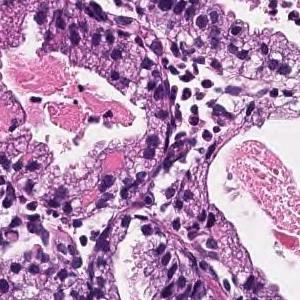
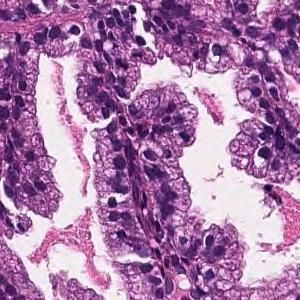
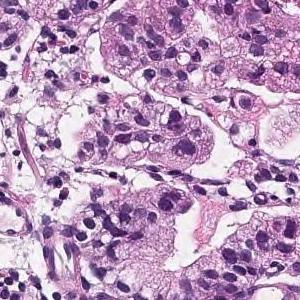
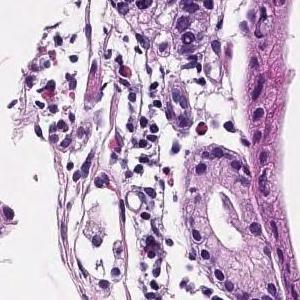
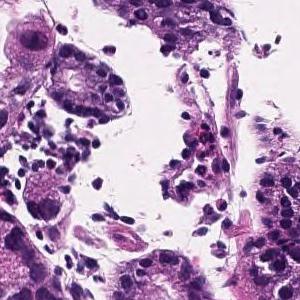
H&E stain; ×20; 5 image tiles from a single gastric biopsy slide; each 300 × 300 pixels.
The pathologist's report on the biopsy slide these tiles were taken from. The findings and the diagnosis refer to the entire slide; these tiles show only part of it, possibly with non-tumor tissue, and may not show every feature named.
In the superficial epithelium, tumor tissue that infiltrates by forming medium-sized papillary or small irregular ducts is observed. Papillary adenocarcinoma
